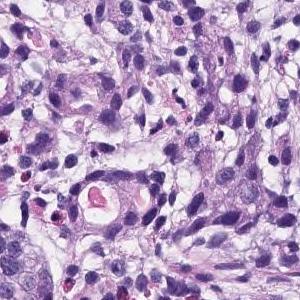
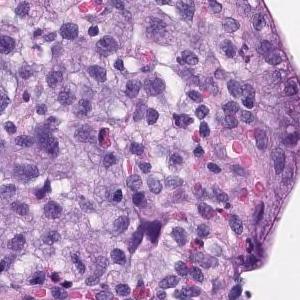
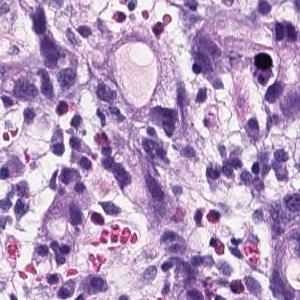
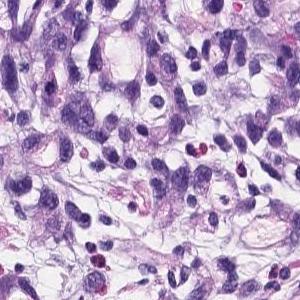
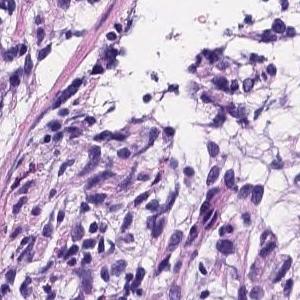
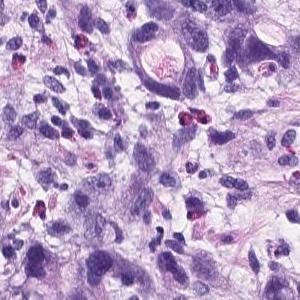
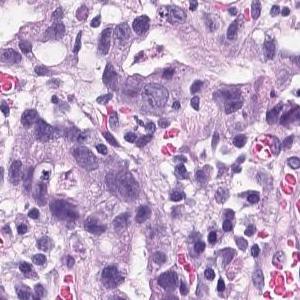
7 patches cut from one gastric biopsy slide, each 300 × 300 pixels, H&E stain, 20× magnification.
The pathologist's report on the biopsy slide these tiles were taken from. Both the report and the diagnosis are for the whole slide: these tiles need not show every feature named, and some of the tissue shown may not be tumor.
There are atypical l cells with atypical nuclei forming cord-like or irregular atypical ducts from solidity and proliferating in a comprehensive manner. Poorly differentiated adenocarcinoma, Moderately differentiated adenocarcinoma (poorly differentiated adenocarcinoma, solid type moderately differentiated tubular adenocarcinoma)
Histologic type: Moderately to poorly differentiated adenocarcinoma.
"Solid type" is a category of the Japanese Classification of Gastric Carcinoma; in the WHO 2019 classification it is tubular adenocarcinoma, poorly differentiated.
